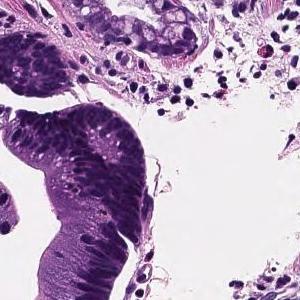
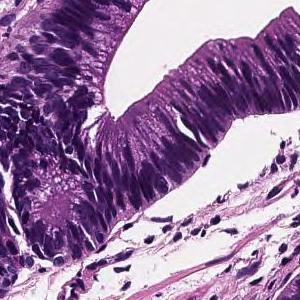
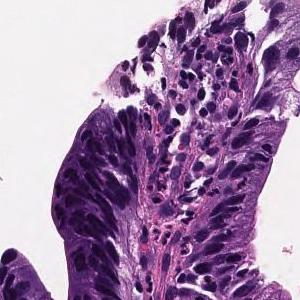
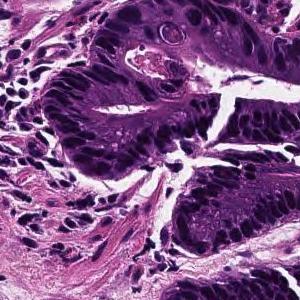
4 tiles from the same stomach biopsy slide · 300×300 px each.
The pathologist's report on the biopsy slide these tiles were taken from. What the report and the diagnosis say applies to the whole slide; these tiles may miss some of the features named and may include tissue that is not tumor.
Tumor cells are large, highly columnar, large club-shaped nuclei, and are associated with chromatin aggregation. Papillary adenocarcinoma.
